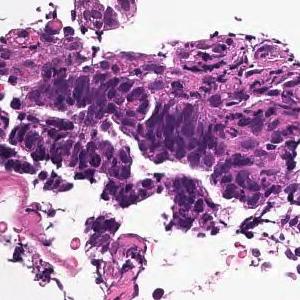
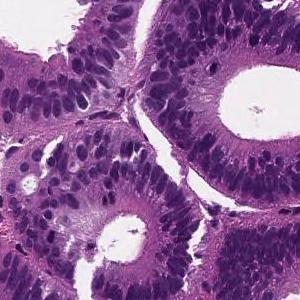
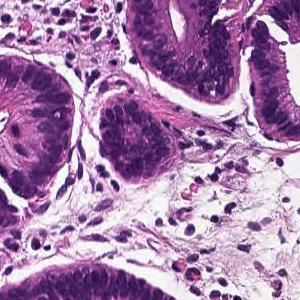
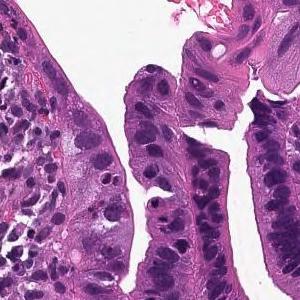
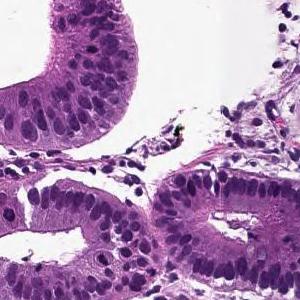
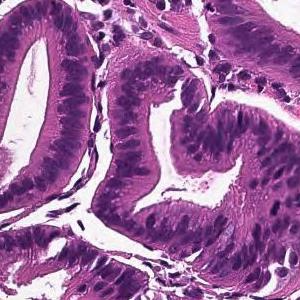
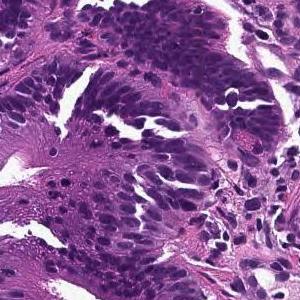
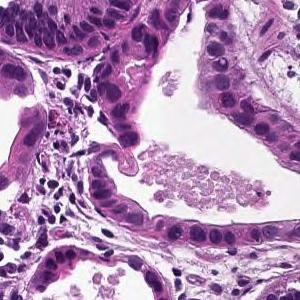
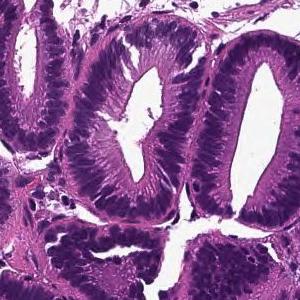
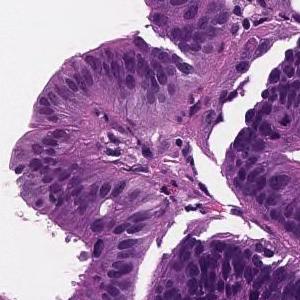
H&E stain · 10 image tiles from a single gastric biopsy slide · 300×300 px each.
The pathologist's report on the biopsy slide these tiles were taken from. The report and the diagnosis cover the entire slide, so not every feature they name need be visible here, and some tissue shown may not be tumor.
From the superficial epithelium to the muscularis mucosae, tumor tissue consisting of medium-sized and irregular glandular ducts infiltrating is observed. Well differentiated tubular adenocarcinoma
